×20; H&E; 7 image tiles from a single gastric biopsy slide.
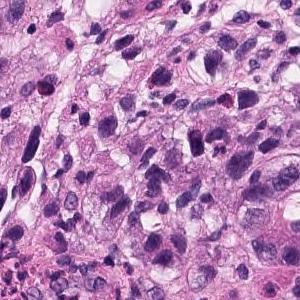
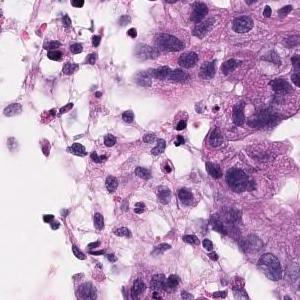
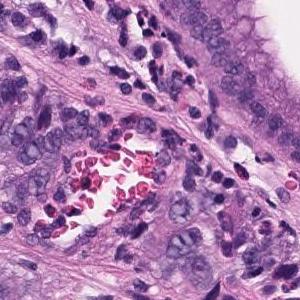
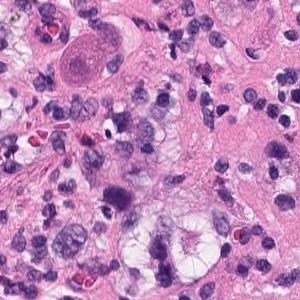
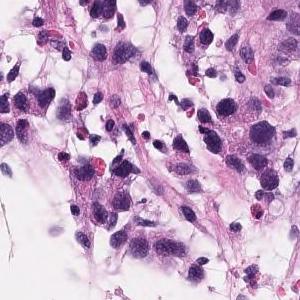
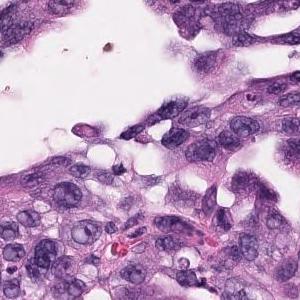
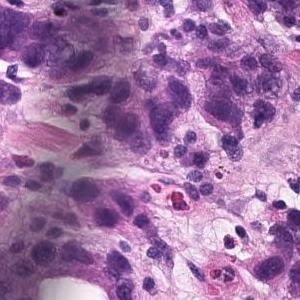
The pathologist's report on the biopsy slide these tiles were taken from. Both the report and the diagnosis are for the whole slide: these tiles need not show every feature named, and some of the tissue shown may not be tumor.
Atypical l cells with atypical nuclei forming diffuse or small irregular atypical ducts and growing. Moderately to poorly differentiated adenocarcinoma (poorly differentiated adenocarcinoma, solid type, moderately differentiated tubular adenocarcinoma)
Histologic type: Moderately to poorly differentiated adenocarcinoma.
The solid type named here is a Japanese Classification of Gastric Carcinoma category; WHO 2019 calls it tubular adenocarcinoma, poorly differentiated.
